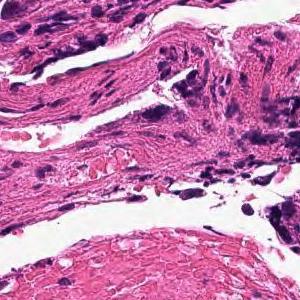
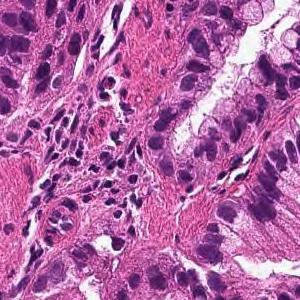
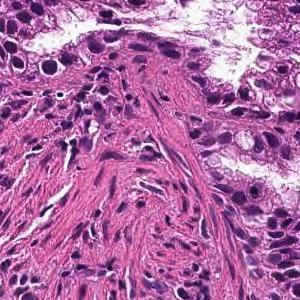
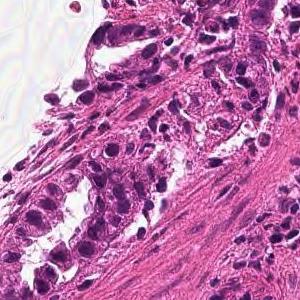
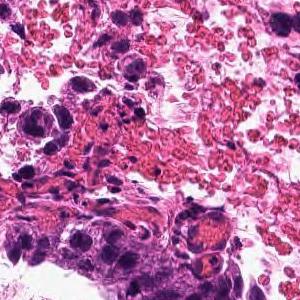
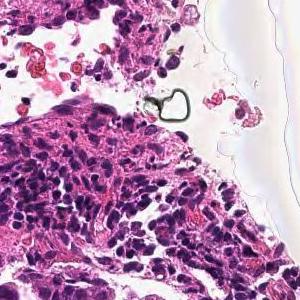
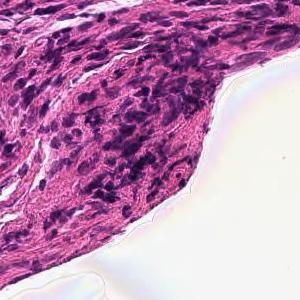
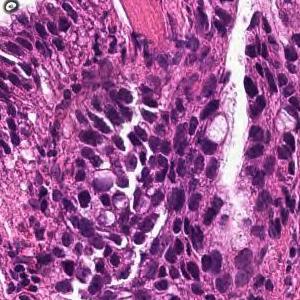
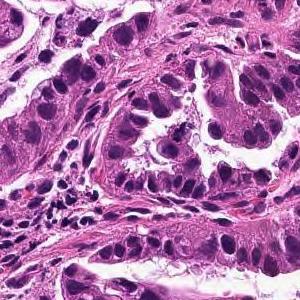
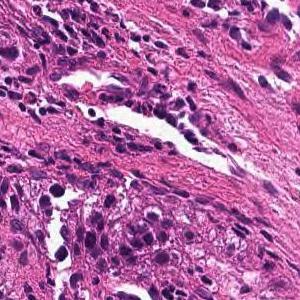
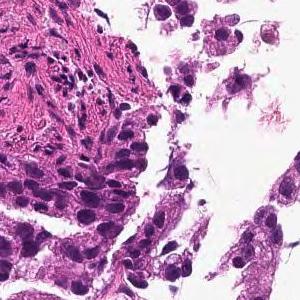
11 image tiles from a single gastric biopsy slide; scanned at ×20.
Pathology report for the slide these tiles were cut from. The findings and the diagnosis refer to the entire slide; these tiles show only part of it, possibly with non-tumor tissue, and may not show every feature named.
From the superficial epithelium to the muscularis mucosae, tumor tissue infiltrating by forming medium-sized irregular gland ducts is observed. Well differentiated tubular adenocarcinoma
